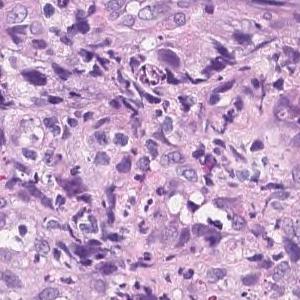
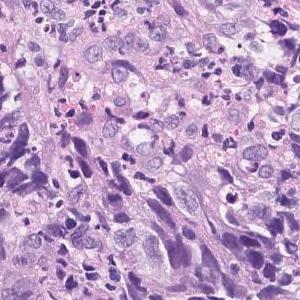
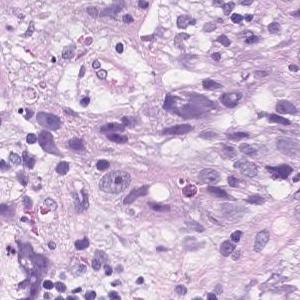
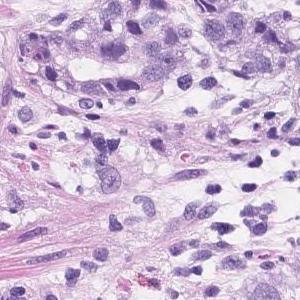
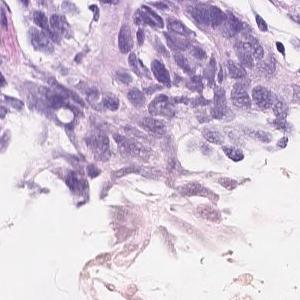
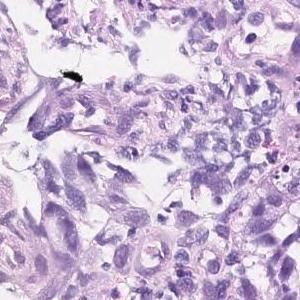
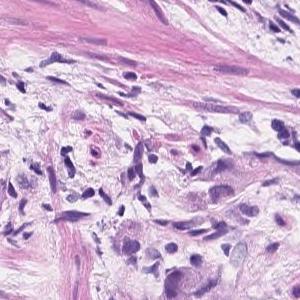
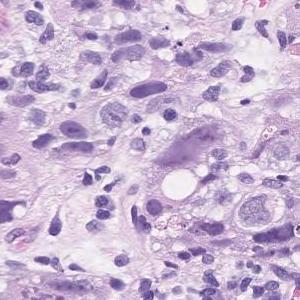
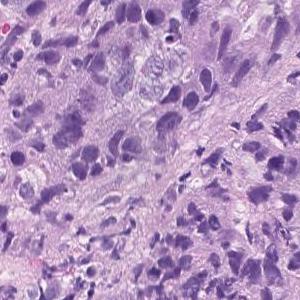
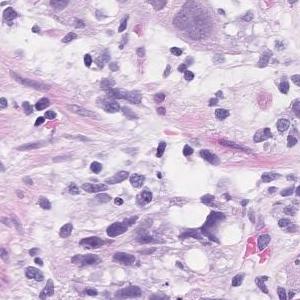
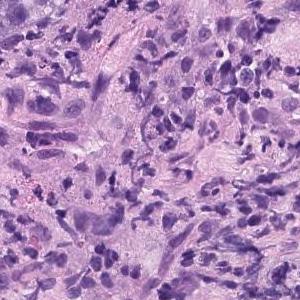
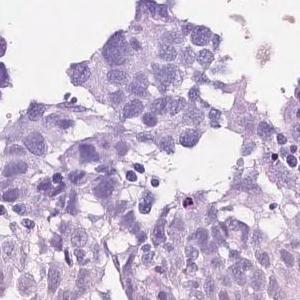
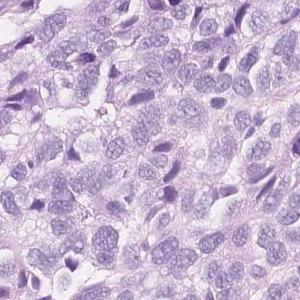
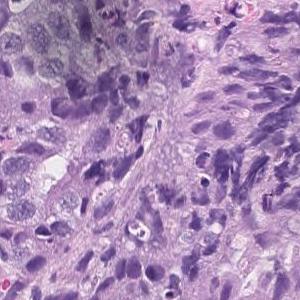
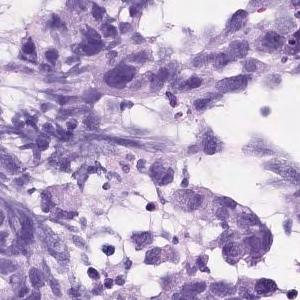
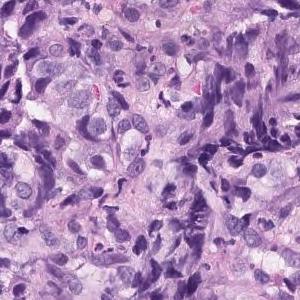
16 tiles from the same stomach biopsy slide · each 300 × 300 pixels · ×20.
Pathology report for the biopsy slide these tiles were cut from. Both the report and the diagnosis are for the whole slide: these tiles need not show every feature named, and some of the tissue shown may not be tumor.
Atypical epithelial cells infiltrating and proliferating diffusely or while forming vesicles is observed. Poorly differentiated adenocarcinoma (poorly differentiated adenocarcinoma, solid type moderately differentiated tubular adenocarcinoma)
Labeled in the dataset as poorly differentiated adenocarcinoma, solid type (Japanese Classification of Gastric Carcinoma). The WHO 2019 equivalent is tubular adenocarcinoma, poorly differentiated.
